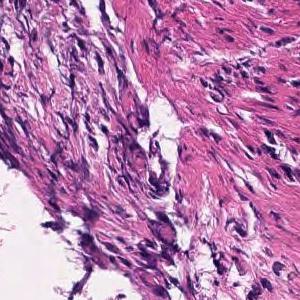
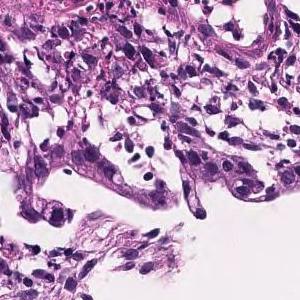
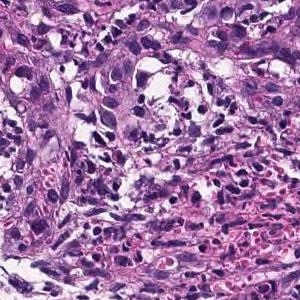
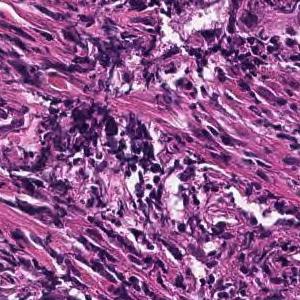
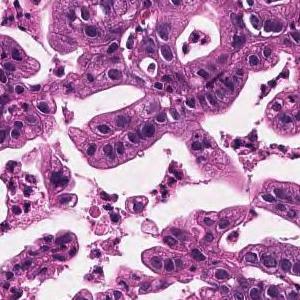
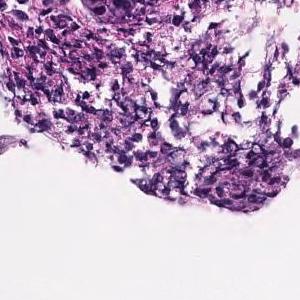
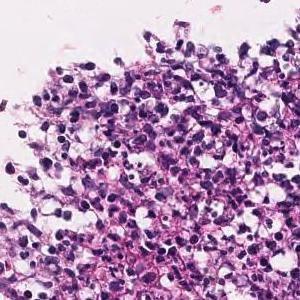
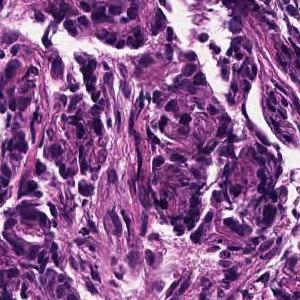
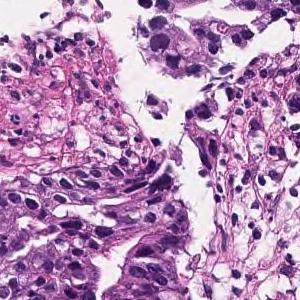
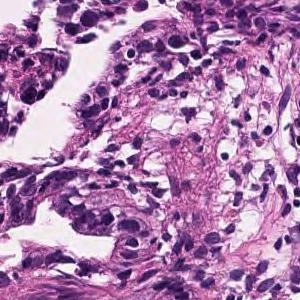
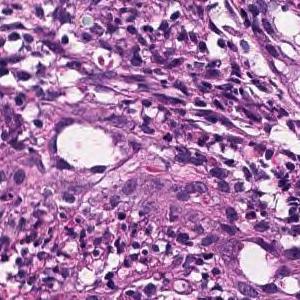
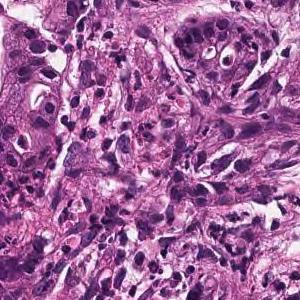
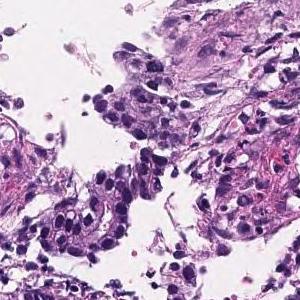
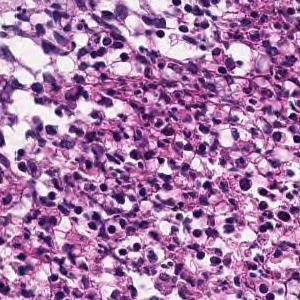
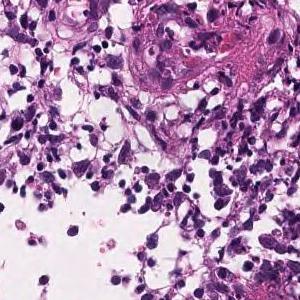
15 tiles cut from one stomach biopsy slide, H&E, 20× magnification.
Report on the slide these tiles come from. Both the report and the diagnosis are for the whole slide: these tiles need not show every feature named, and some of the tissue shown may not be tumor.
In the superficial epithelium, medium to small, irregular gland ducts are formed, and in some cases, the gland ducts are fused to show solid alveolar lesions and infiltrating tumor tissue is observed. Moderately to poorly differentiated adenocarcinoma.
